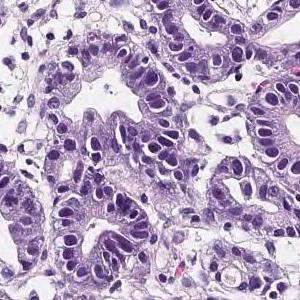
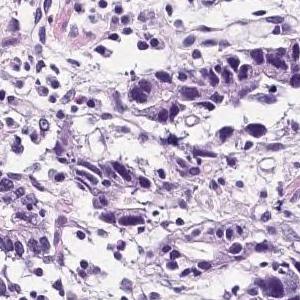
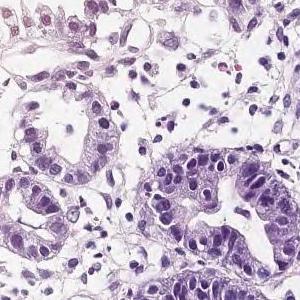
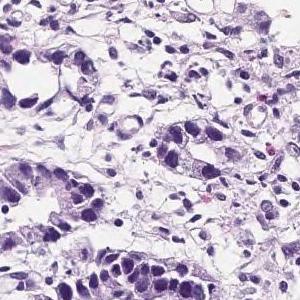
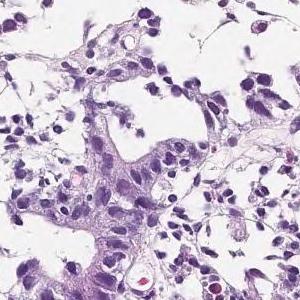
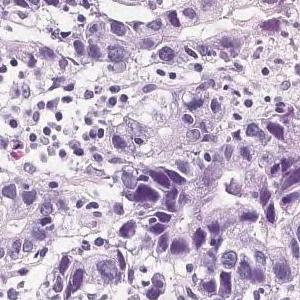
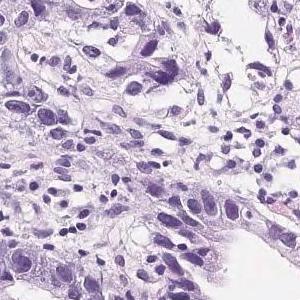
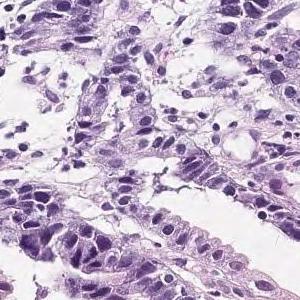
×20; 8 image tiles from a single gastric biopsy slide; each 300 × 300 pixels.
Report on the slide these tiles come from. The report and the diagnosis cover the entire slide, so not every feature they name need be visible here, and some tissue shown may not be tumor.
Well-differentiated tubular adenocarcinoma that grows with some small irregular ducts fused to the superficial epithelium. Well differentiated tubular adenocarcinoma
